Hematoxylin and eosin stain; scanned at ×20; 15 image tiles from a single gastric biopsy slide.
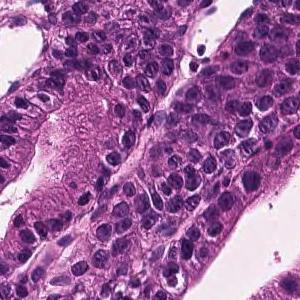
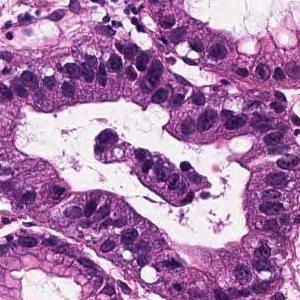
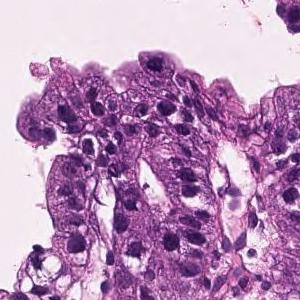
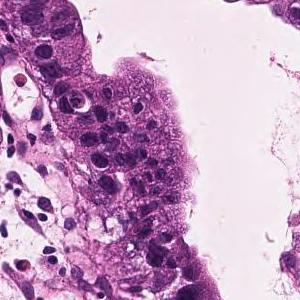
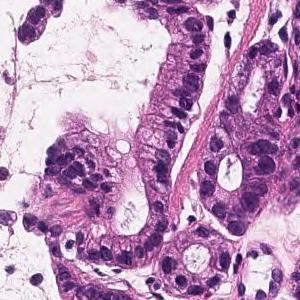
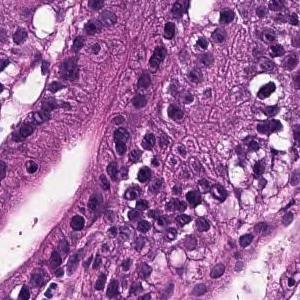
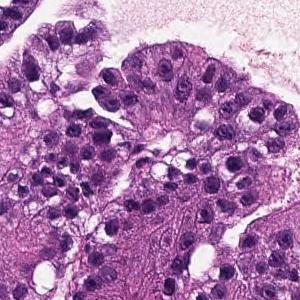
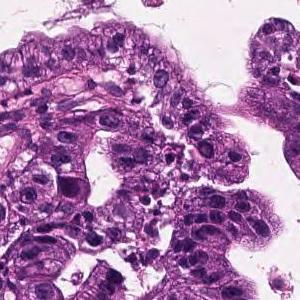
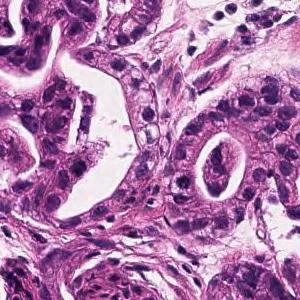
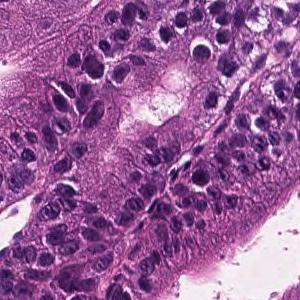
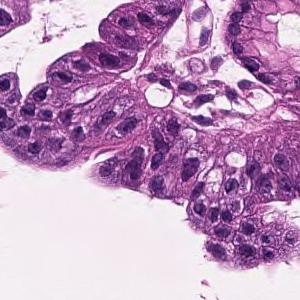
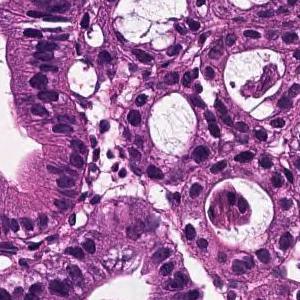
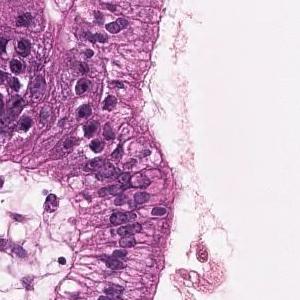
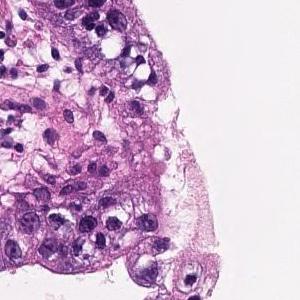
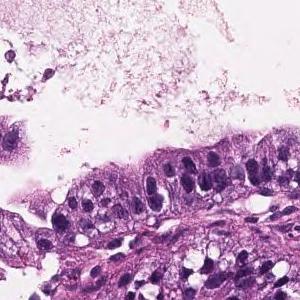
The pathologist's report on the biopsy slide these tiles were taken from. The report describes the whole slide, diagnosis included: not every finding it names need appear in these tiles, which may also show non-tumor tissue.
On the superficial epithelium, tumor tissue that infiltrates by forming medium-sized papillary or small irregular ducts is observed. Papillary adenocarcinoma
